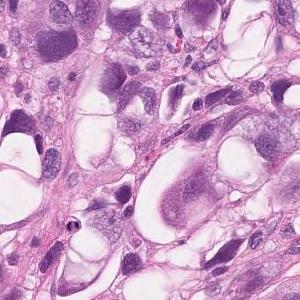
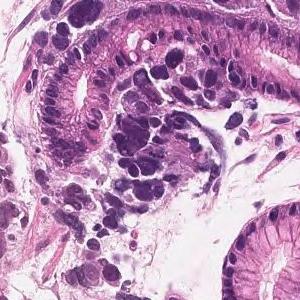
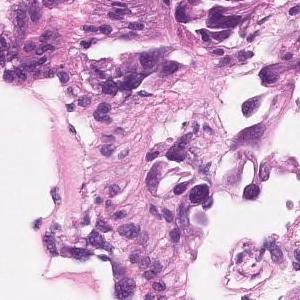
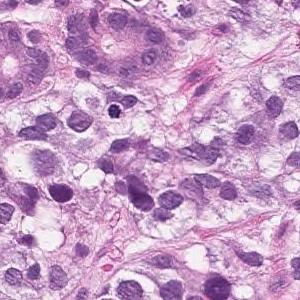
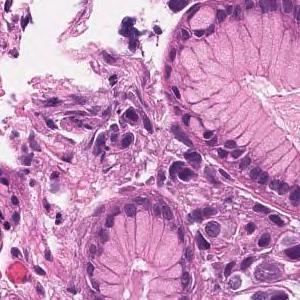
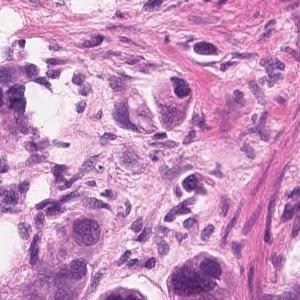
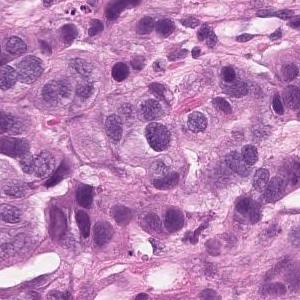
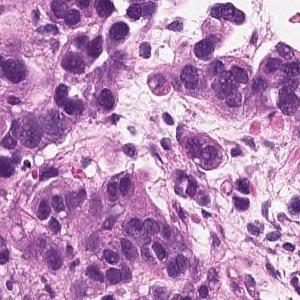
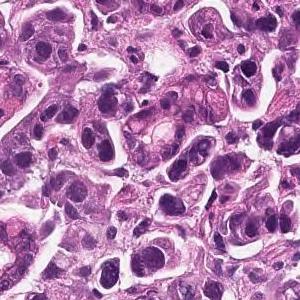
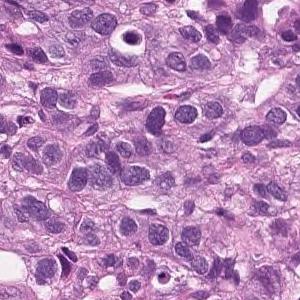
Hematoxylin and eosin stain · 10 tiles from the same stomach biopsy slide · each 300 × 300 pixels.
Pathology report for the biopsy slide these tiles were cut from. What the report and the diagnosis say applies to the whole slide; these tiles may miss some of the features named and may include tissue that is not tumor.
Tumor tissue that infiltrates the epithelium in an alveolar manner. Poorly differentiated adenocarcinoma, solid-type
Classified as poorly differentiated adenocarcinoma, solid type (Japanese Classification of Gastric Carcinoma). The WHO 2019 equivalent is tubular adenocarcinoma, poorly differentiated.
